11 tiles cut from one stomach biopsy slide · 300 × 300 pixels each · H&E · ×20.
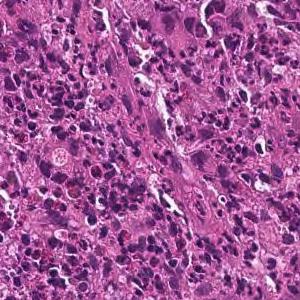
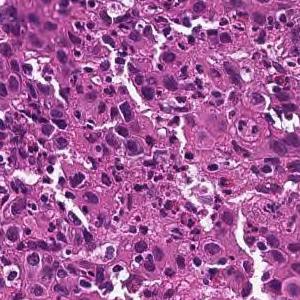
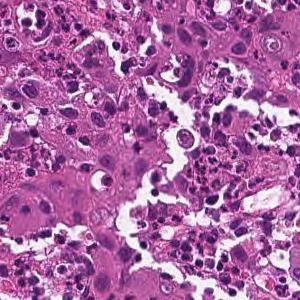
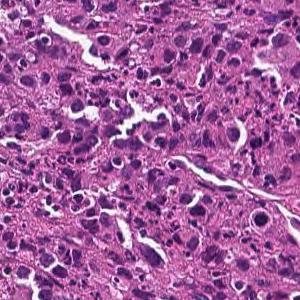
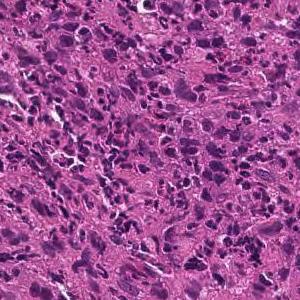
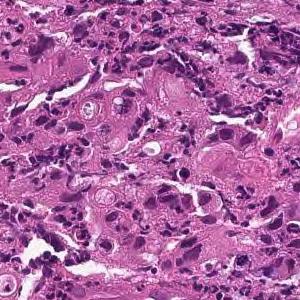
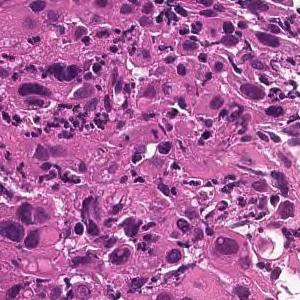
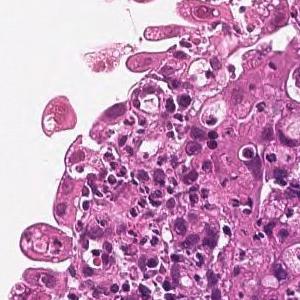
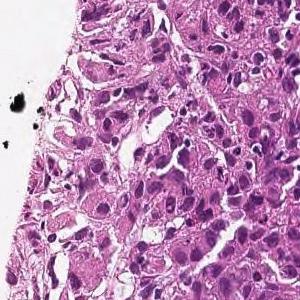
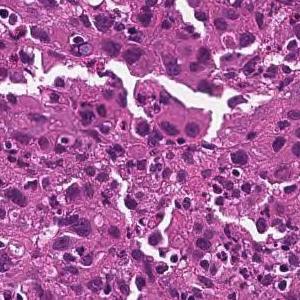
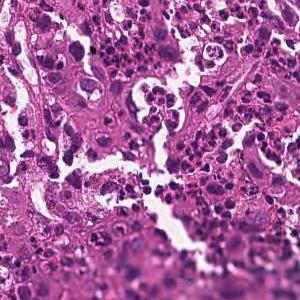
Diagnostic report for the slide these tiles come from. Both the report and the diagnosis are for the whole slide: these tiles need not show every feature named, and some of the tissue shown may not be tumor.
The superficial epithelium shows a large sheet-like shape, and some tumor tissue infiltrates with small irregular ducts. Poorly differentiated adenocarcinoma, solid-type
Histological subtype: Poorly differentiated adenocarcinoma, solid type. This name comes from the Japanese Classification of Gastric Carcinoma; the WHO 2019 classification calls it tubular adenocarcinoma, poorly differentiated.
